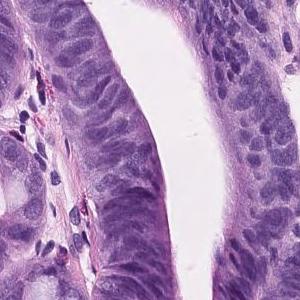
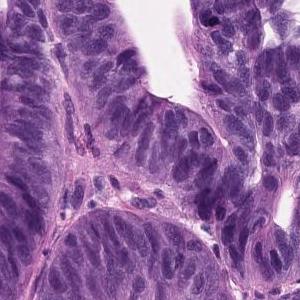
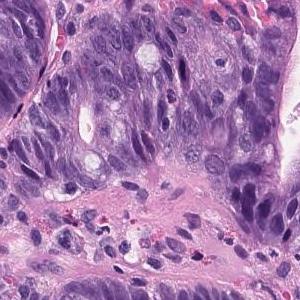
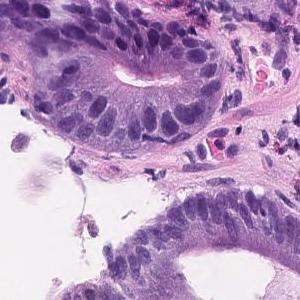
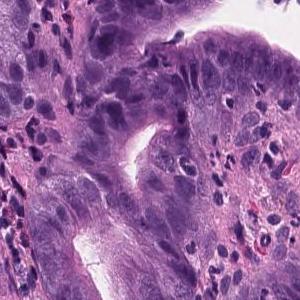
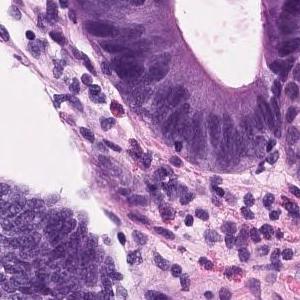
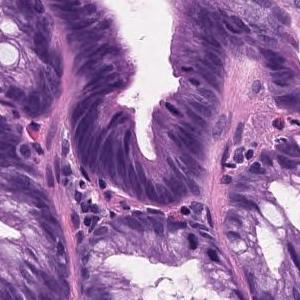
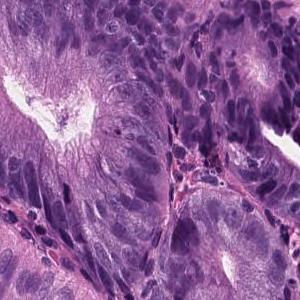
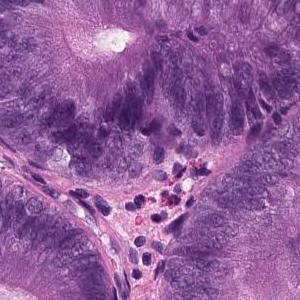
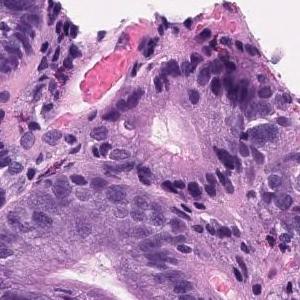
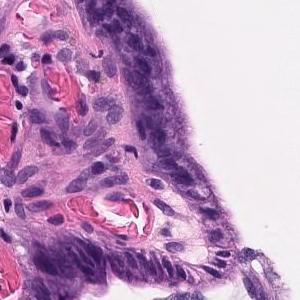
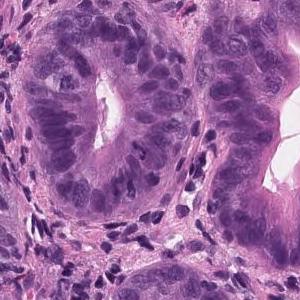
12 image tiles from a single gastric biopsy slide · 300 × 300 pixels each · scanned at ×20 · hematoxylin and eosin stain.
Pathology report for the biopsy slide these tiles were cut from. The report and the diagnosis describe the slide as a whole, so these tiles may not show every feature named and may include non-tumor tissue.
On the superficial epithelium, tumor tissue with densely growing medium to large, round tubules is observed. Tumor cells are highly columnar, with nuclei aligned basolaterally and polarized. Well differentiated tubular adenocarcinoma
